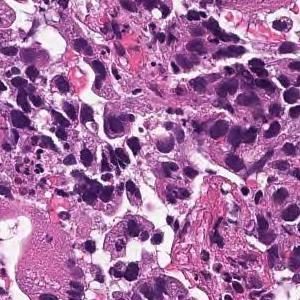
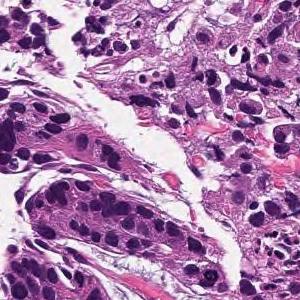
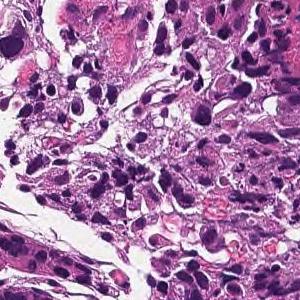
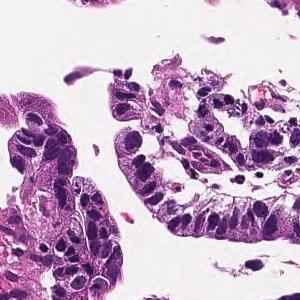
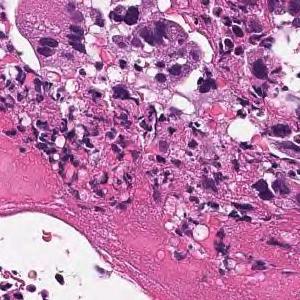
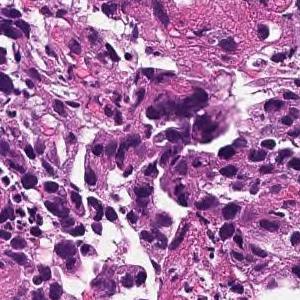
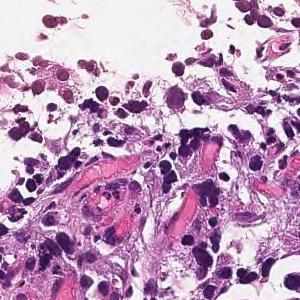
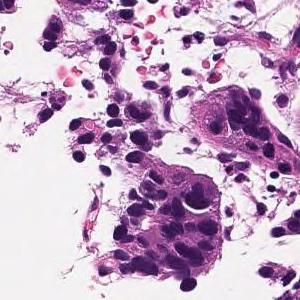
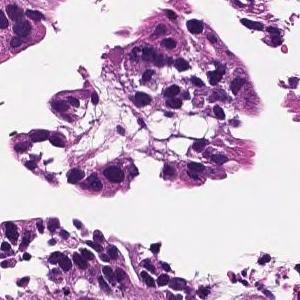
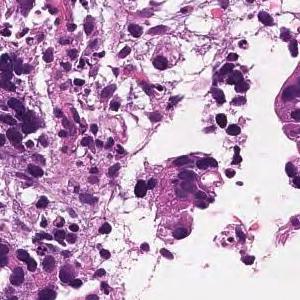
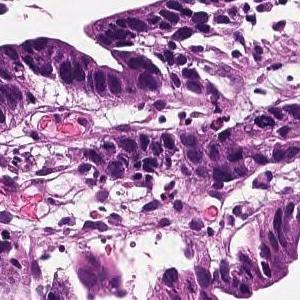
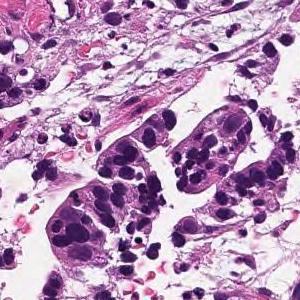
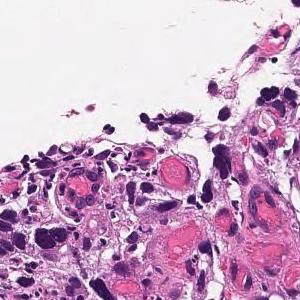
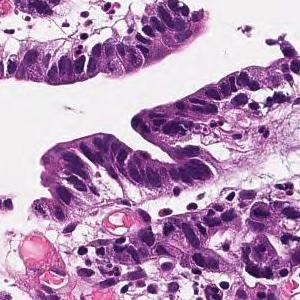
14 patches cut from one gastric biopsy slide, each 300 × 300 pixels, hematoxylin and eosin stain, 20× magnification.
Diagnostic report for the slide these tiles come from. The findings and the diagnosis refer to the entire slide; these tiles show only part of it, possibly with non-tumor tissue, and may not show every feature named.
In the superficial epithelium, tumor tissue that invades by forming medium-sized to small, irregular ducts is observed. moderately differentiated tubular adenocarcinoma.
